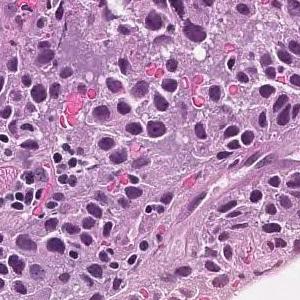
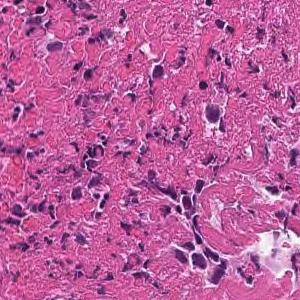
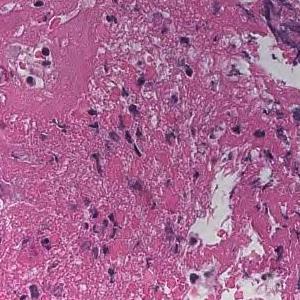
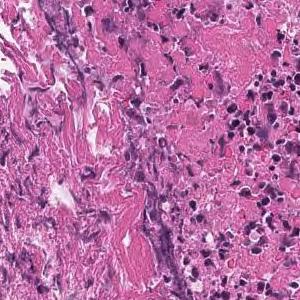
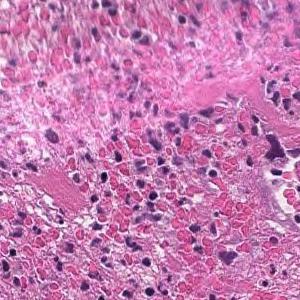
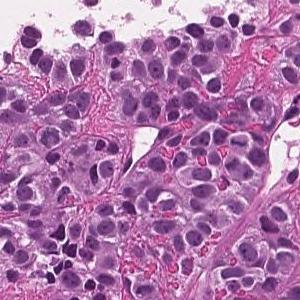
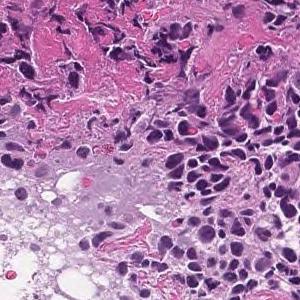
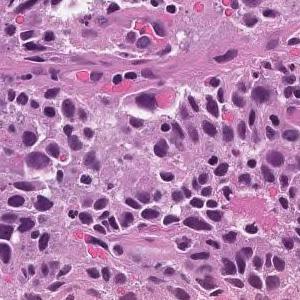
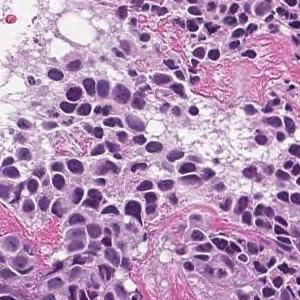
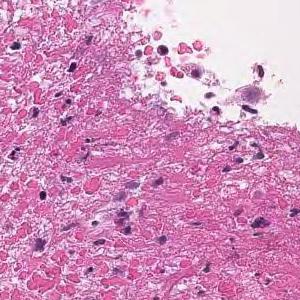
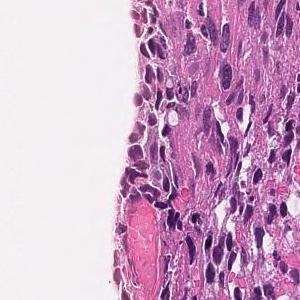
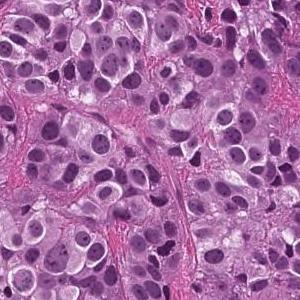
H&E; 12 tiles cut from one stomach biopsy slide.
Pathology report for the biopsy slide these tiles were cut from. The findings and the diagnosis refer to the entire slide; these tiles show only part of it, possibly with non-tumor tissue, and may not show every feature named.
The superficial epithelium shows a large sheet-like shape, and some tumor tissue infiltrates with small irregular ducts. Poorly differentiated adenocarcinoma, solid-type
Histologic type: Poorly differentiated adenocarcinoma, solid type (Japanese Classification of Gastric Carcinoma). The WHO 2019 equivalent is tubular adenocarcinoma, poorly differentiated.
